9 tiles cut from one stomach biopsy slide, 300 × 300 pixels each.
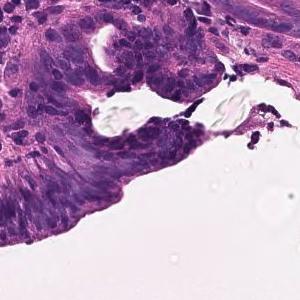
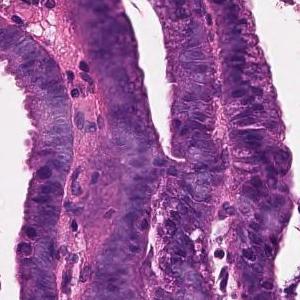
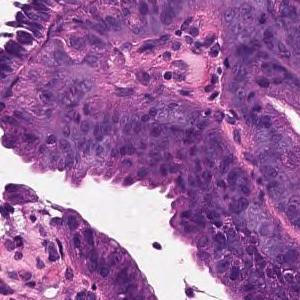
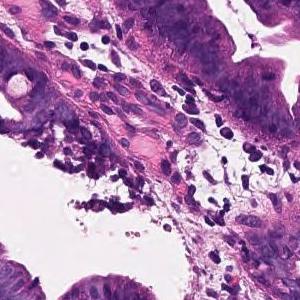
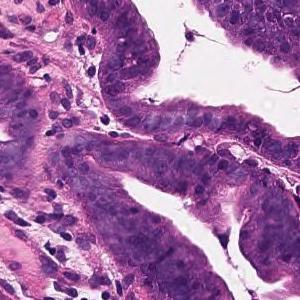
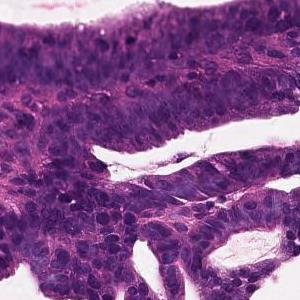
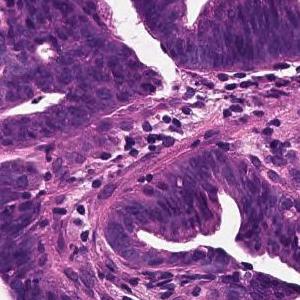
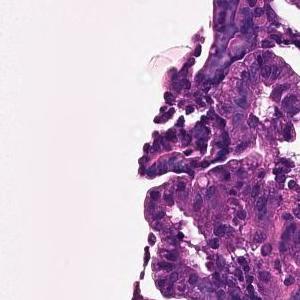
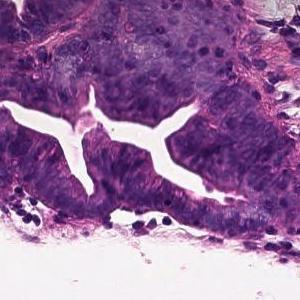
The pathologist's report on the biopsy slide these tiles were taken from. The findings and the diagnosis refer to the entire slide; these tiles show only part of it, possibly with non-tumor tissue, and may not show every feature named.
Tumor cells are large, highly columnar, large club-shaped nuclei, and are associated with chromatin aggregation. Papillary adenocarcinoma.
